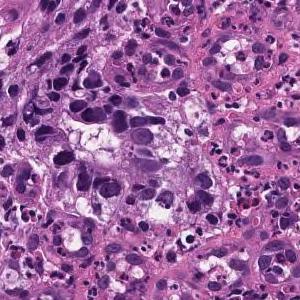
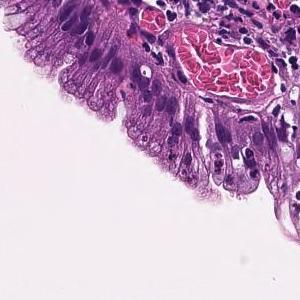
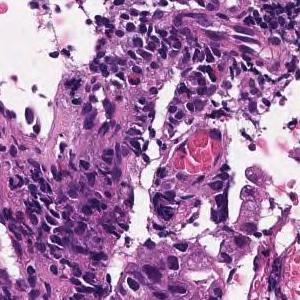
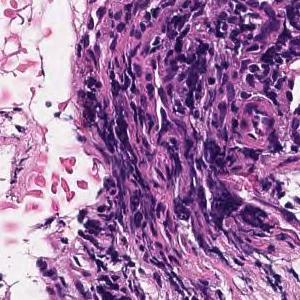
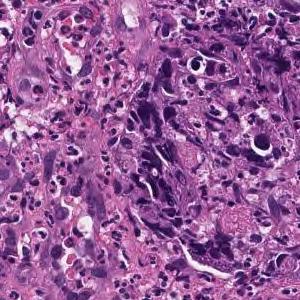
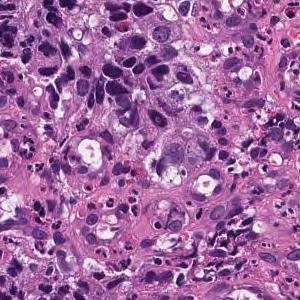
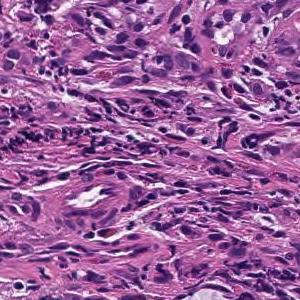
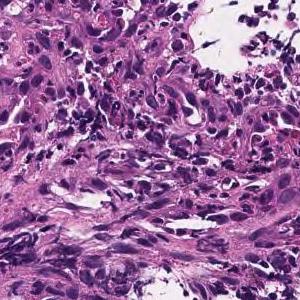
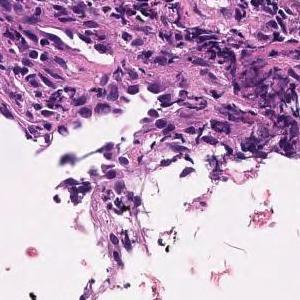
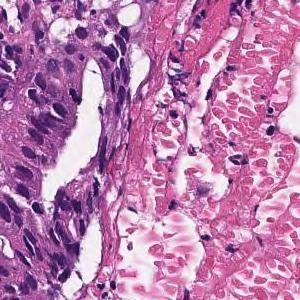
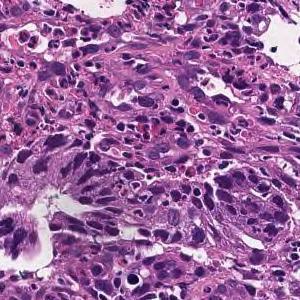
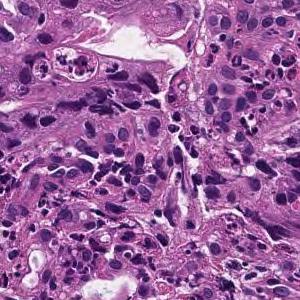
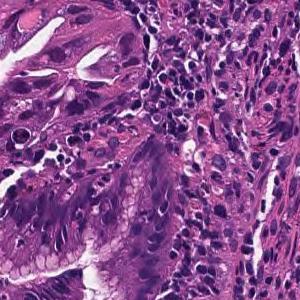
13 tiles cut from one stomach biopsy slide · hematoxylin and eosin stain.
The pathologist's report on the biopsy slide these tiles were taken from. What the report and the diagnosis say applies to the whole slide; these tiles may miss some of the features named and may include tissue that is not tumor.
In the superficial epithelium, tumor tissue that invades by forming medium-sized to small, irregular ducts is observed. moderately differentiated tubular adenocarcinoma.
